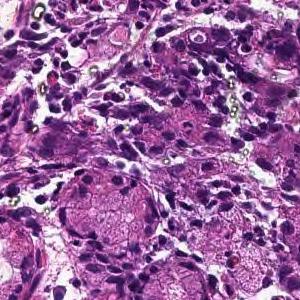
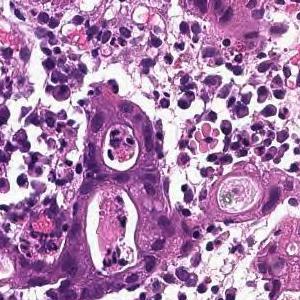
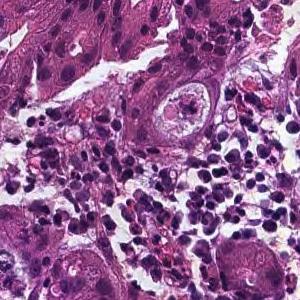
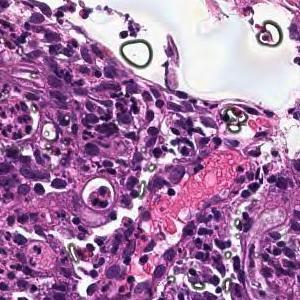
Scanned at ×20; H&E stain; 4 image tiles from a single gastric biopsy slide; 300 × 300 pixels each.
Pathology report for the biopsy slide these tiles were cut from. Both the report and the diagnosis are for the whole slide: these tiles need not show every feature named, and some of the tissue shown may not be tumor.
In the superficial epithelium, tumor tissue that invades by forming medium-sized to small, irregular ducts is observed. moderately differentiated tubular adenocarcinoma.
